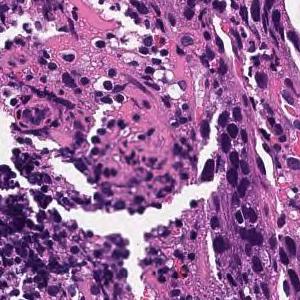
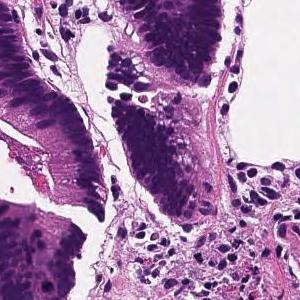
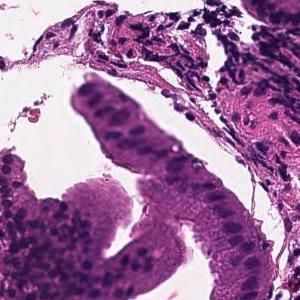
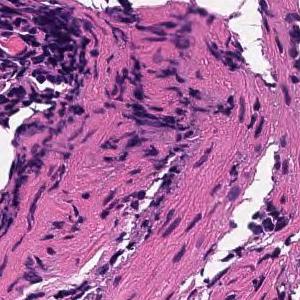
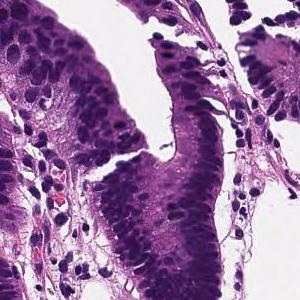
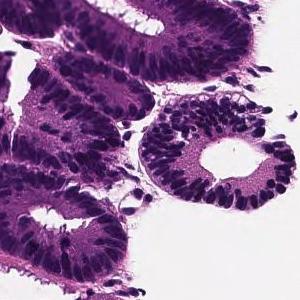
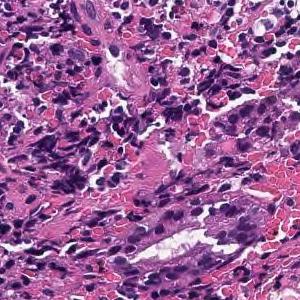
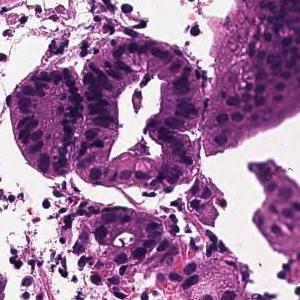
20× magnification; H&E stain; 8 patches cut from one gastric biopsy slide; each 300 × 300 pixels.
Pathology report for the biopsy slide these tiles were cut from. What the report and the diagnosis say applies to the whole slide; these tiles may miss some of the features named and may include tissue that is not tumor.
Tumor cells are large, highly columnar, large club-shaped nuclei, and are associated with chromatin aggregation. Papillary adenocarcinoma.
